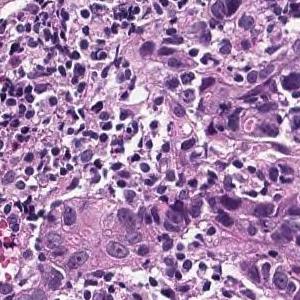
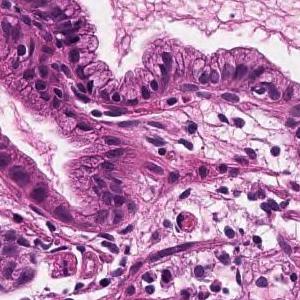
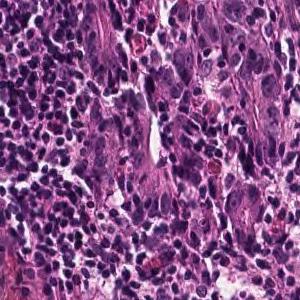
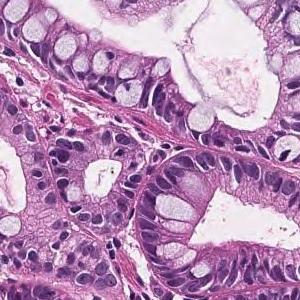
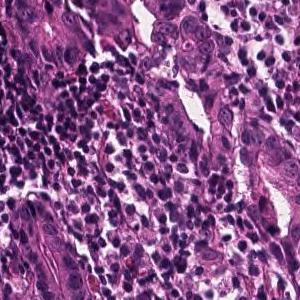
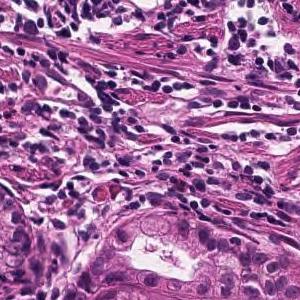
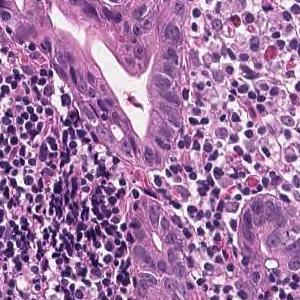
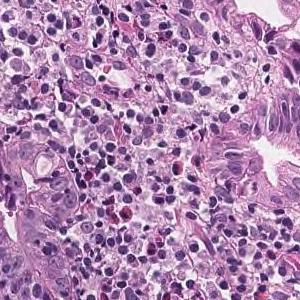
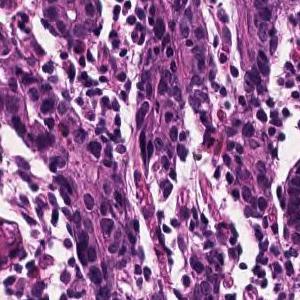
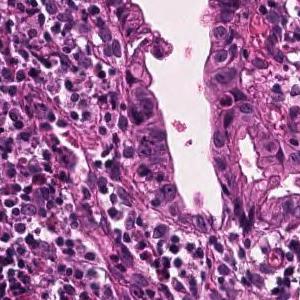
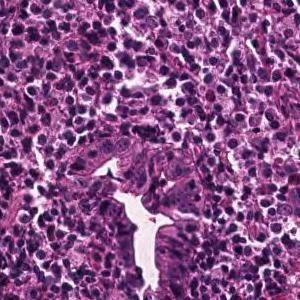
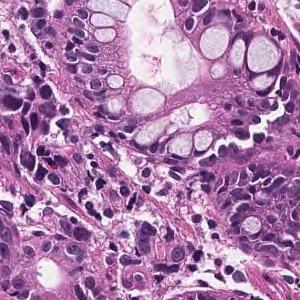
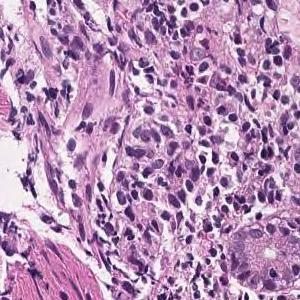
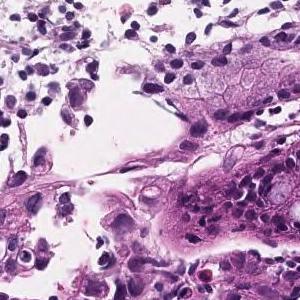
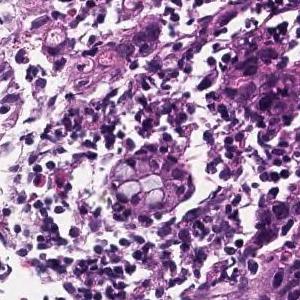
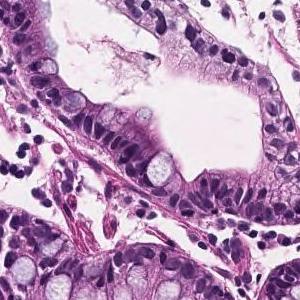
×20, H&E stain, 16 patches cut from one gastric biopsy slide, 300 × 300 pixels each.
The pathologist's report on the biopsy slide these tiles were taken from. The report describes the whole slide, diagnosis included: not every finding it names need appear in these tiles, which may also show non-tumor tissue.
Tumor tissue consisting of medium-sized, cord-like or irregular glandular infiltration is observed in the superficial epithelium. Poorly differentiated adenocarcinoma, non-solid type or moderately differentiated tubular adenocarcinoma
Histological subtype: Moderately to poorly differentiated adenocarcinoma.
The term "non-solid type" comes from the Japanese Classification of Gastric Carcinoma.
